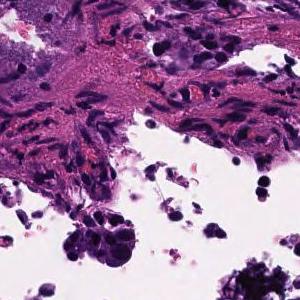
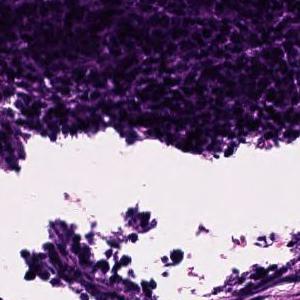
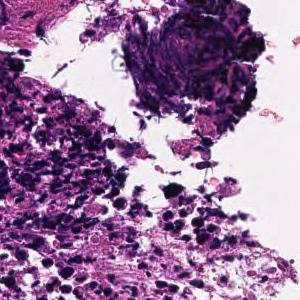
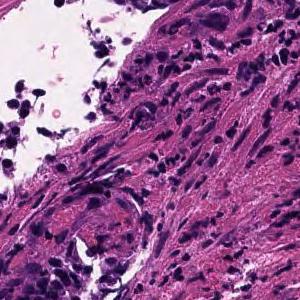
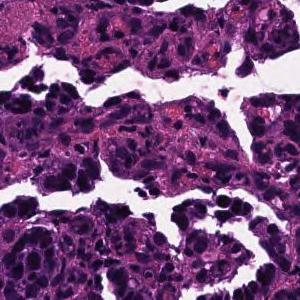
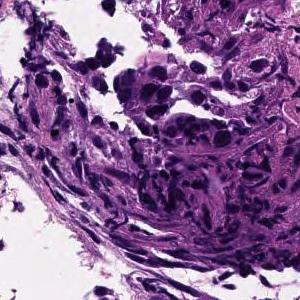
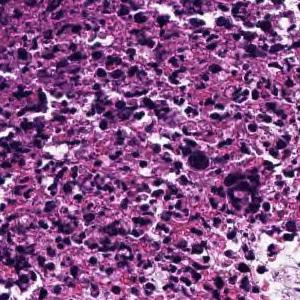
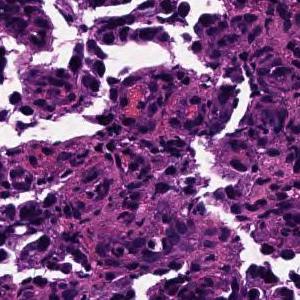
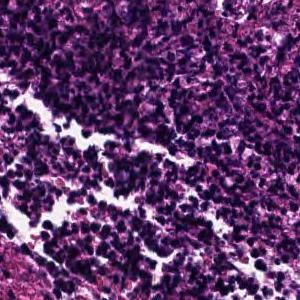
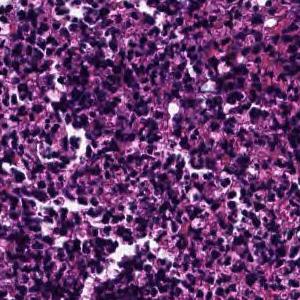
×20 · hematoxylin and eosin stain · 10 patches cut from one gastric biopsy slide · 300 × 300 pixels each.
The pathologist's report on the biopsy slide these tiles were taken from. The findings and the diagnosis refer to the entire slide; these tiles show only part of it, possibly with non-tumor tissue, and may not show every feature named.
In the superficial epithelium, tumor tissue that invades by forming medium-sized to small, irregular ducts is observed. moderately differentiated tubular adenocarcinoma.
